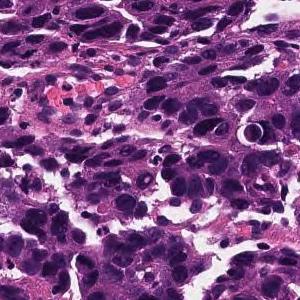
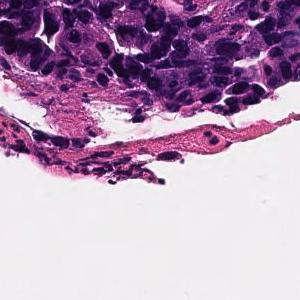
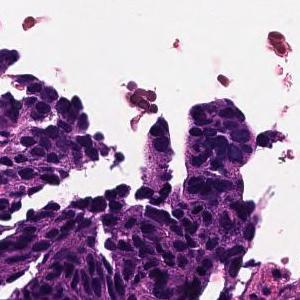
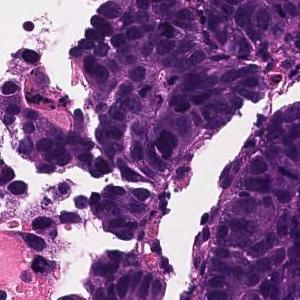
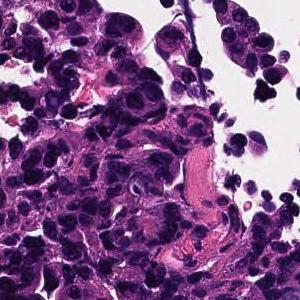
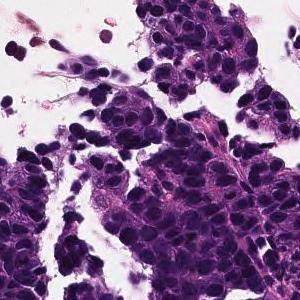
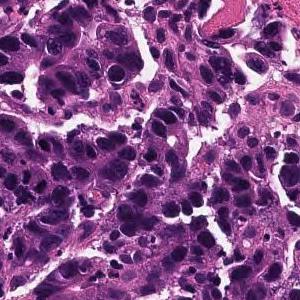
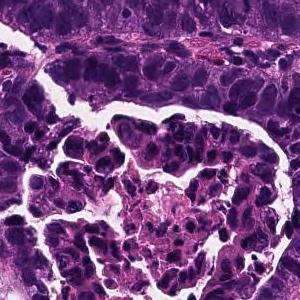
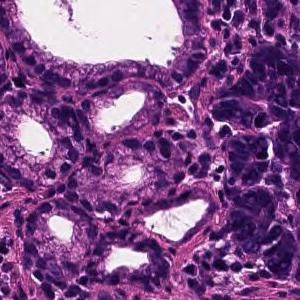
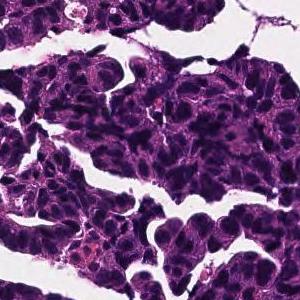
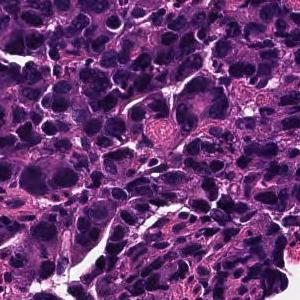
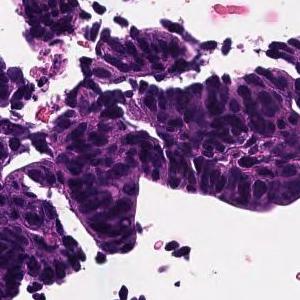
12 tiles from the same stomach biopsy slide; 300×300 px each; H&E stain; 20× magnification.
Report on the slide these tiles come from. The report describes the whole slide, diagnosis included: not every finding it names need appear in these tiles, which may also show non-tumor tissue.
In the superficial epithelium, tumor tissue that invades by forming medium-sized to small, irregular ducts is observed. moderately differentiated tubular adenocarcinoma.
